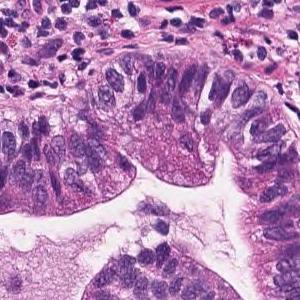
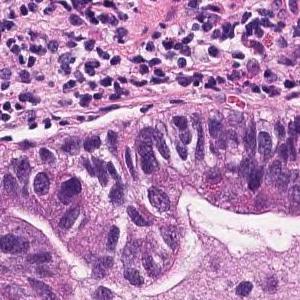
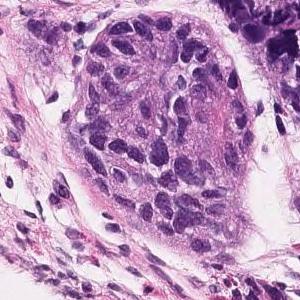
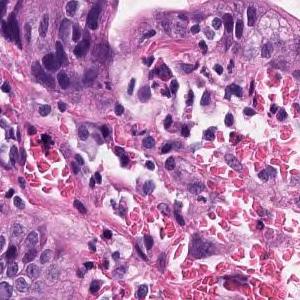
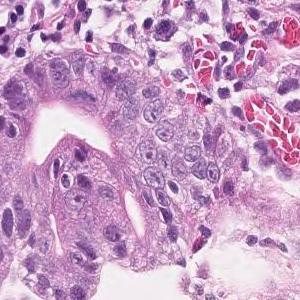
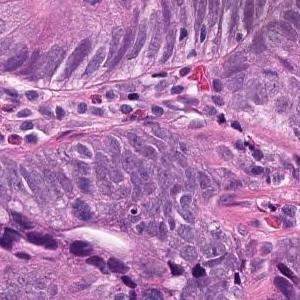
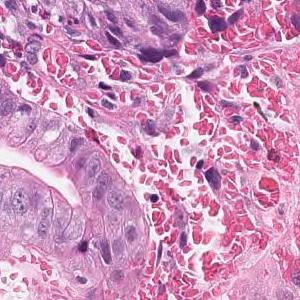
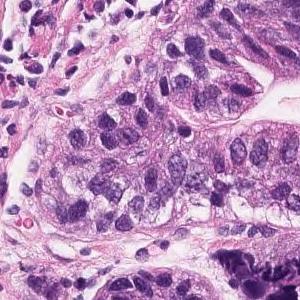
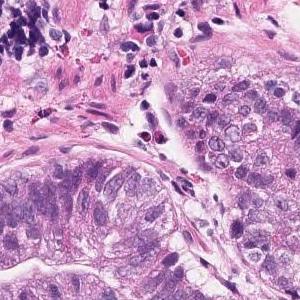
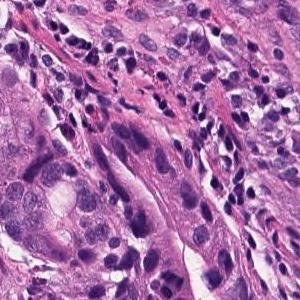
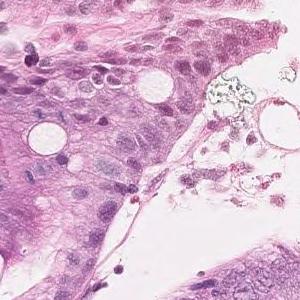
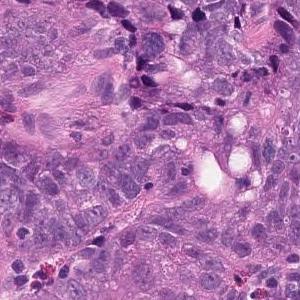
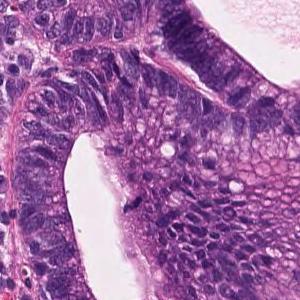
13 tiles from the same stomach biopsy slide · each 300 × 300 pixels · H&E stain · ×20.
Diagnostic report for the slide these tiles come from. Both the report and the diagnosis are for the whole slide: these tiles need not show every feature named, and some of the tissue shown may not be tumor.
Tumor cells are large, highly columnar, large club-shaped nuclei, and are associated with chromatin aggregation. Papillary adenocarcinoma.
